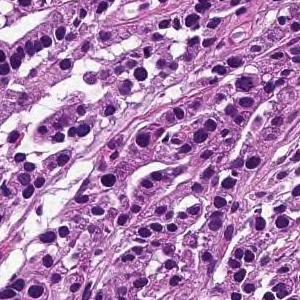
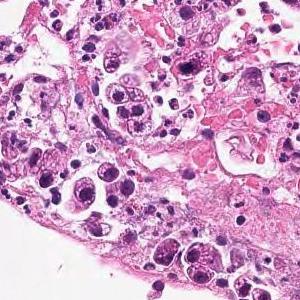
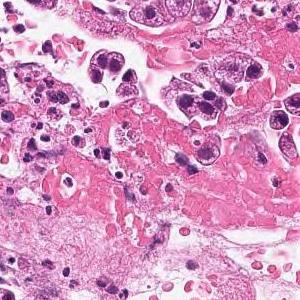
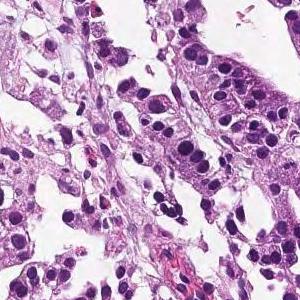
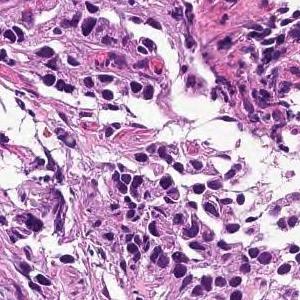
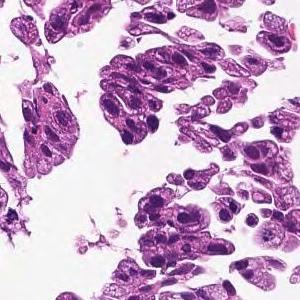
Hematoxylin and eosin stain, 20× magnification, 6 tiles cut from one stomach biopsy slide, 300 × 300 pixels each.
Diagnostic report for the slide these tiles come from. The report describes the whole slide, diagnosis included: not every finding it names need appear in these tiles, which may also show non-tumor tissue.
In the superficial epithelium, tumor tissue that invades by forming medium-sized to small, irregular ducts is observed. moderately differentiated tubular adenocarcinoma.
